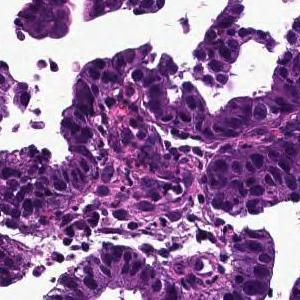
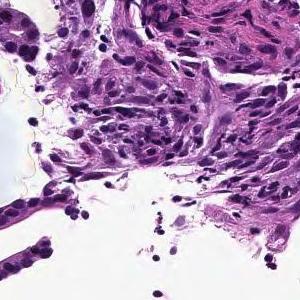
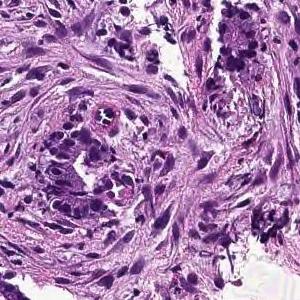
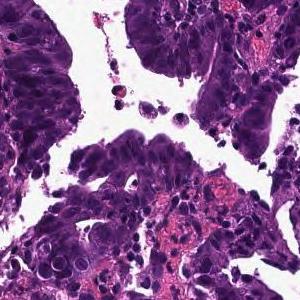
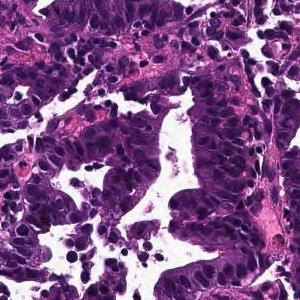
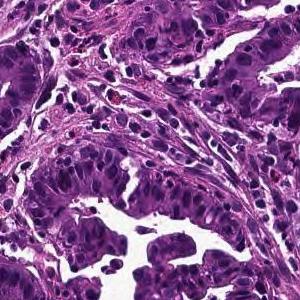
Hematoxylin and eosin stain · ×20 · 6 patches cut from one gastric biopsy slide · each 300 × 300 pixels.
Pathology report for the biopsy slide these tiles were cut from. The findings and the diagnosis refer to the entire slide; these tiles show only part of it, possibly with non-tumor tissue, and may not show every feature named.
Tumor cells are large, highly columnar, large club-shaped nuclei, and are associated with chromatin aggregation. Papillary adenocarcinoma.
